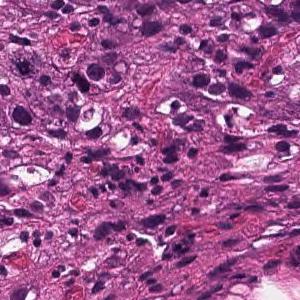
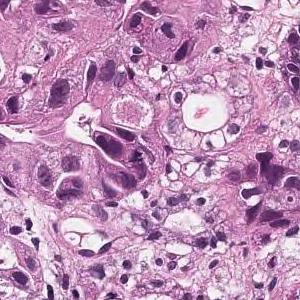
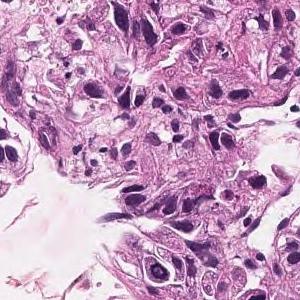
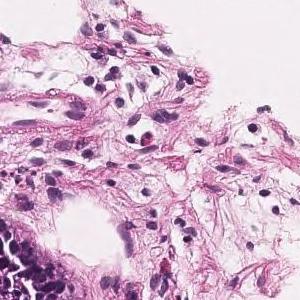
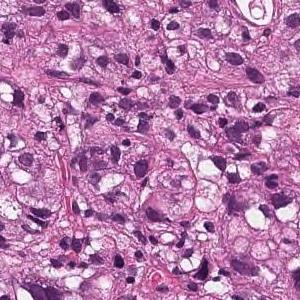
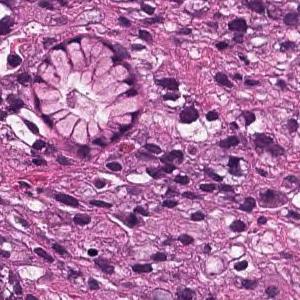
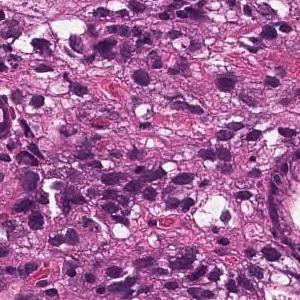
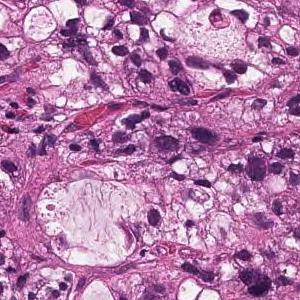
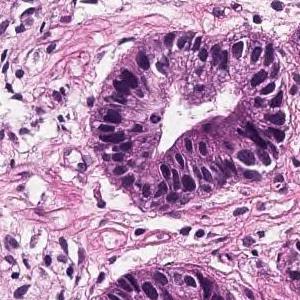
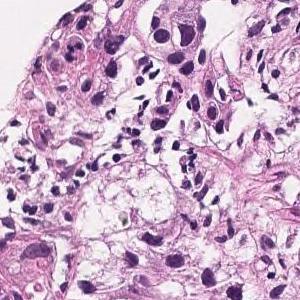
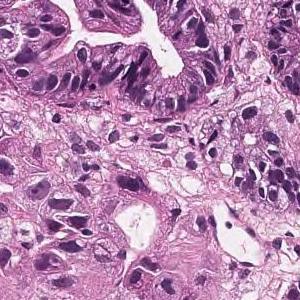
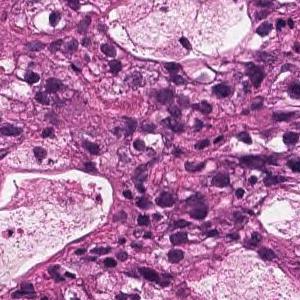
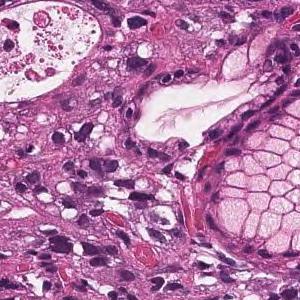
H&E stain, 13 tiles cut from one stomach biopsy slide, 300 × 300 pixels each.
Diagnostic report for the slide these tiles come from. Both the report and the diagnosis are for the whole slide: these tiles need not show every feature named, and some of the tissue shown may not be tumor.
Medium to small, irregular glandular ducts are formed in the superficial epithelium, and in some cases, the glandular ducts are fused to show solid alveolar lesions and infiltrating tumor tissue is observed. Moderately to poorly differentiated adenocarcinoma.
